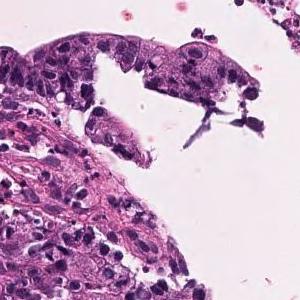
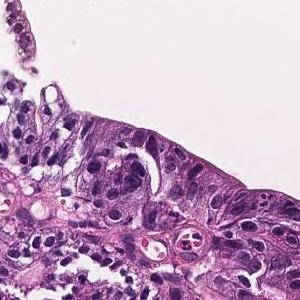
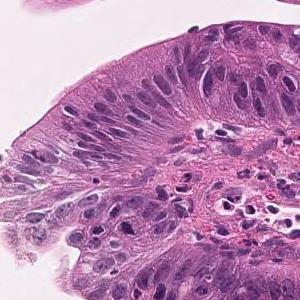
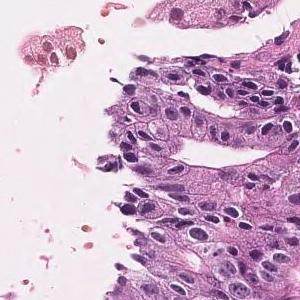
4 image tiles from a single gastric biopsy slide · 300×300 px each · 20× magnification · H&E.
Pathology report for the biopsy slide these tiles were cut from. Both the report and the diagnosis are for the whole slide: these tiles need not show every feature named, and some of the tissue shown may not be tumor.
In the superficial epithelium, tumor tissue that invades by forming medium-sized to small, irregular ducts is observed. Well differentiated tubular adenocarcinoma.
